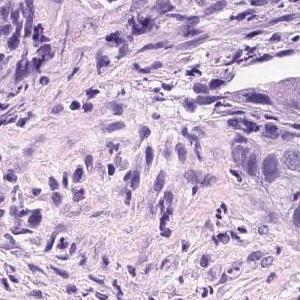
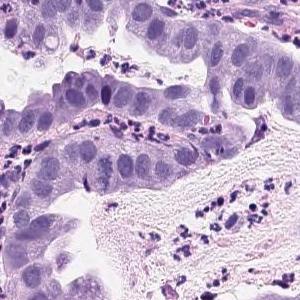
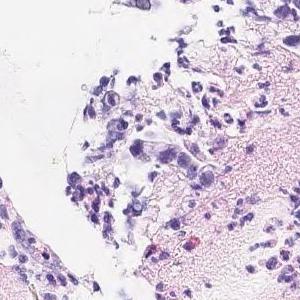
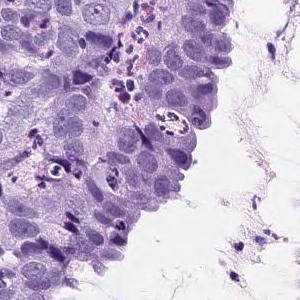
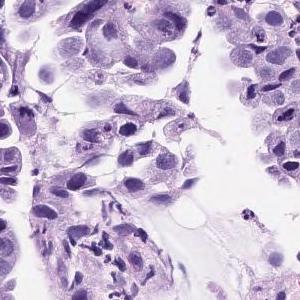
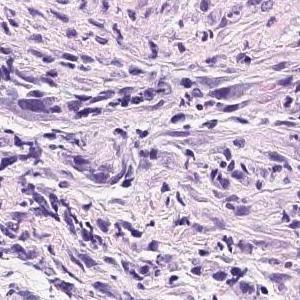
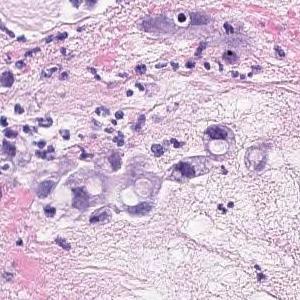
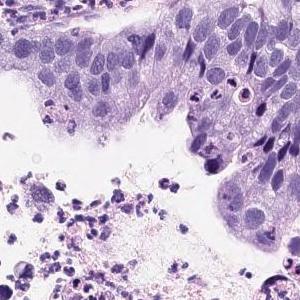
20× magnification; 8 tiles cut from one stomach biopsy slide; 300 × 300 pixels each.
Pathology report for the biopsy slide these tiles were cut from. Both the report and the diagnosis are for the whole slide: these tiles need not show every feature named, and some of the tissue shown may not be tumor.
Atypical l cells with atypical nuclei forming solid or diffuse vesicles or small irregular atypical ducts and growing in a complex manner. Well differentiated tubular adenocarcinoma
